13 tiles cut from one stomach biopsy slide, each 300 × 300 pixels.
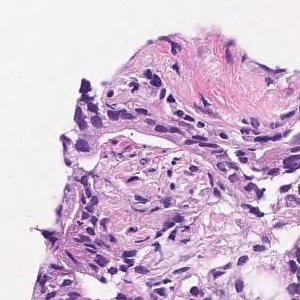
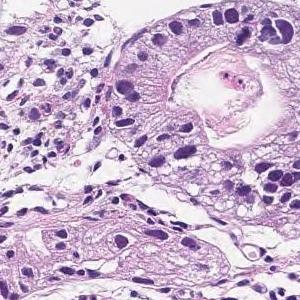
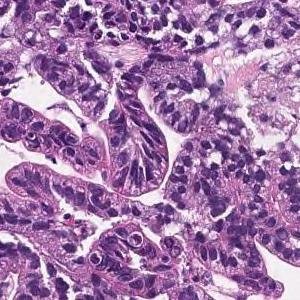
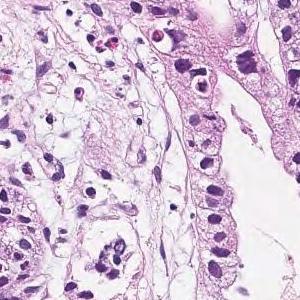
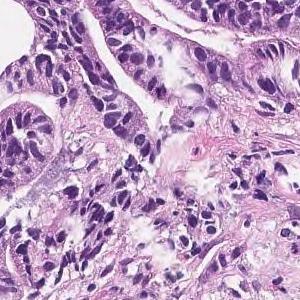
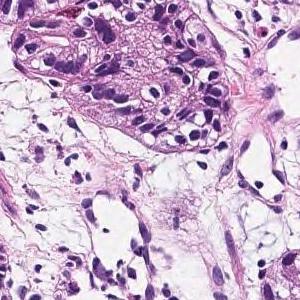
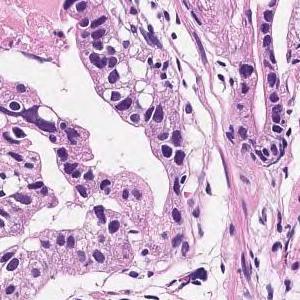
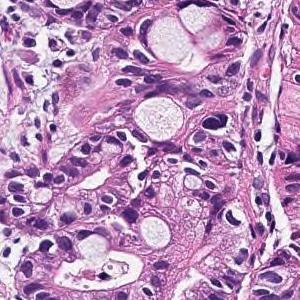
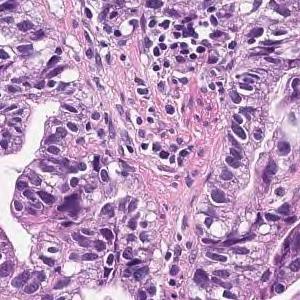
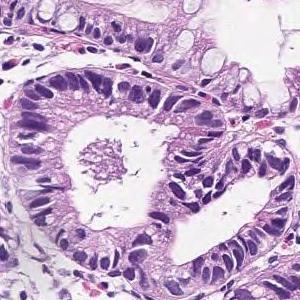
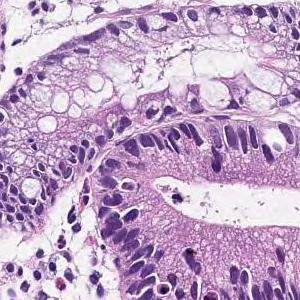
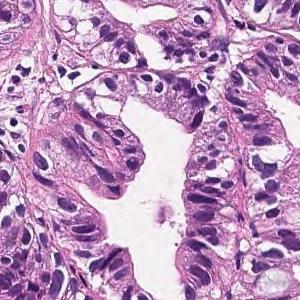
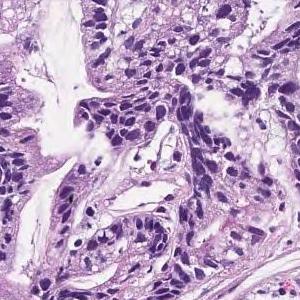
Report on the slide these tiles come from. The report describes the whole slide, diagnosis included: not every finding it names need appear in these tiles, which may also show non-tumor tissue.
In the superficial epithelium, tumor tissue that invades by forming medium-sized to small, irregular ducts is observed. Moderately differentiated adenocarcinoma.
Subtype: Moderately differentiated tubular adenocarcinoma.
